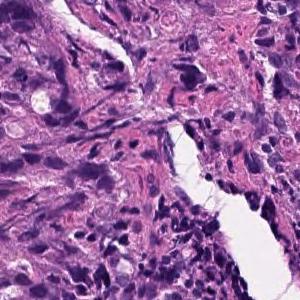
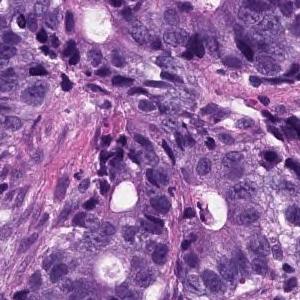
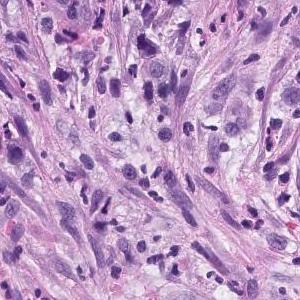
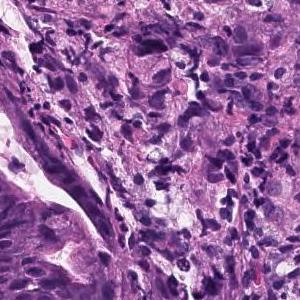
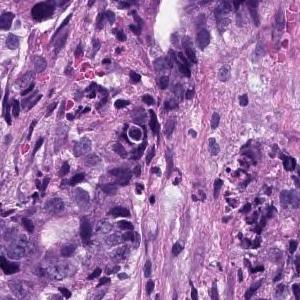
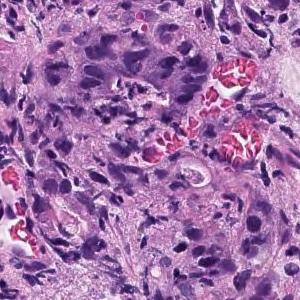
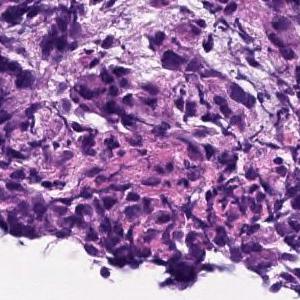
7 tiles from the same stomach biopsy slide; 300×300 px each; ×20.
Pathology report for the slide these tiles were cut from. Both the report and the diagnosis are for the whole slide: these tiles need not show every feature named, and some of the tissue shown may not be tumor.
Medium to small, irregular glandular ducts are formed in the superficial epithelium, and in some cases, the glandular ducts are fused to show solid alveolar lesions and infiltrating tumor tissue is observed. Moderately to poorly differentiated adenocarcinoma.
